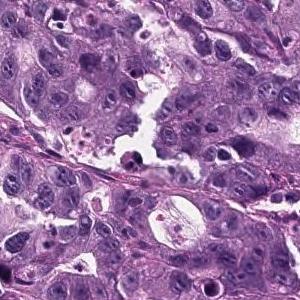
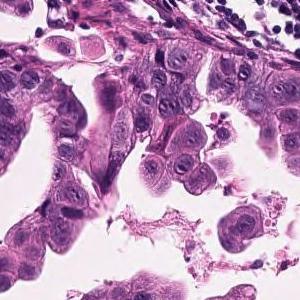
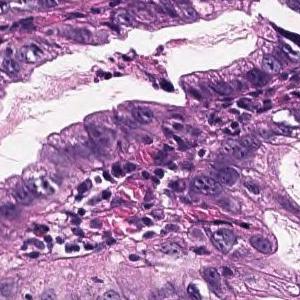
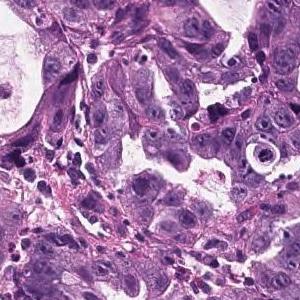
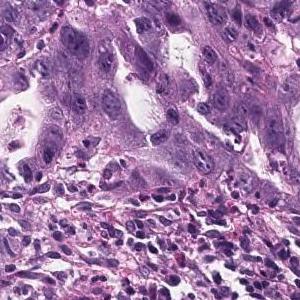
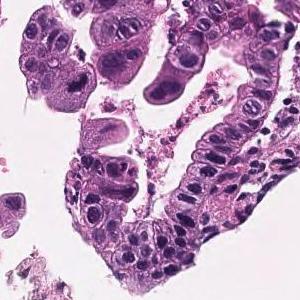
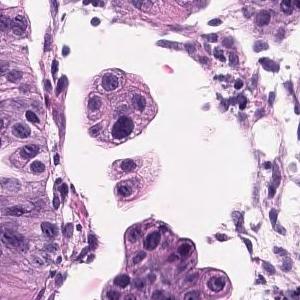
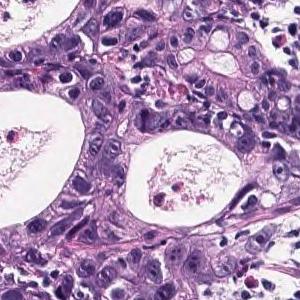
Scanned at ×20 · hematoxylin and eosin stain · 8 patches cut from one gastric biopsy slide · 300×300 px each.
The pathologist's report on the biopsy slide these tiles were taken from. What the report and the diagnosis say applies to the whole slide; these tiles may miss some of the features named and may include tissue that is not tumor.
Tumor cells are large, highly columnar, large club-shaped nuclei, and are associated with chromatin aggregation. Papillary adenocarcinoma.
